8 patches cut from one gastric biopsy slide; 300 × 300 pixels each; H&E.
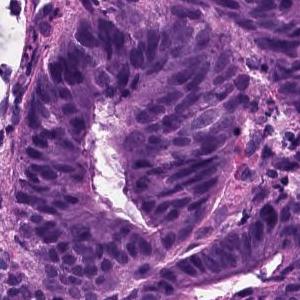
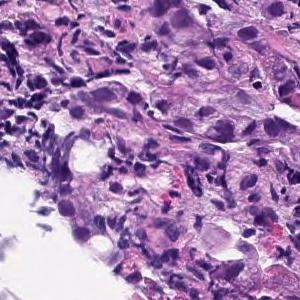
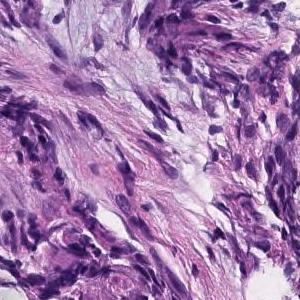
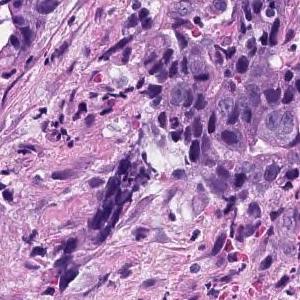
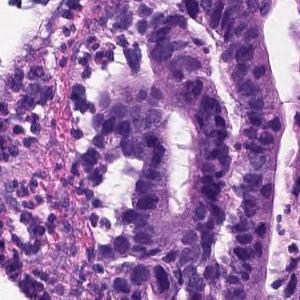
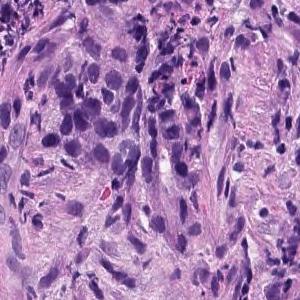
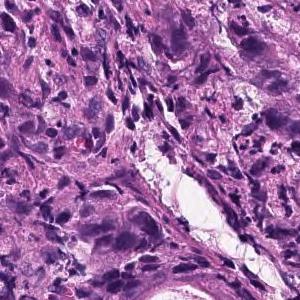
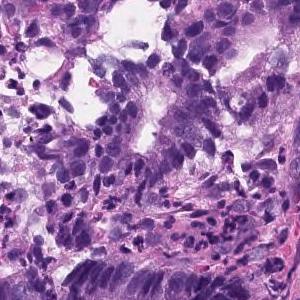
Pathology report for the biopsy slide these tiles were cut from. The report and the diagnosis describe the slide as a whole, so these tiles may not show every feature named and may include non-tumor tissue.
Medium to small, irregular glandular ducts are formed in the superficial epithelium, and in some cases, the glandular ducts are fused to show solid alveolar lesions and infiltrating tumor tissue is observed. Moderately to poorly differentiated adenocarcinoma.
